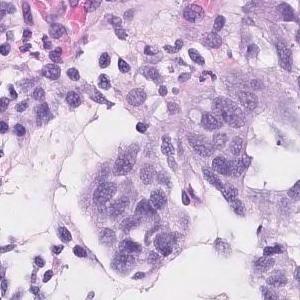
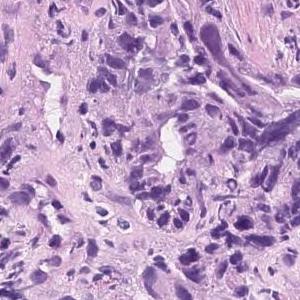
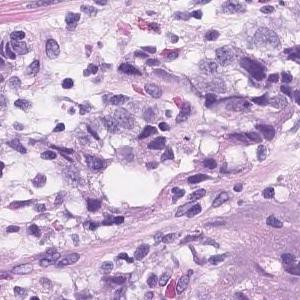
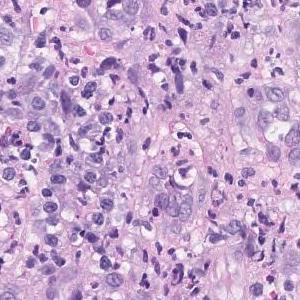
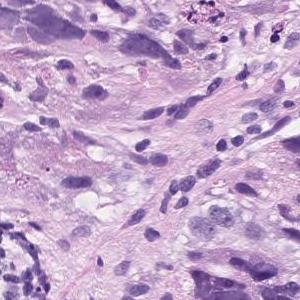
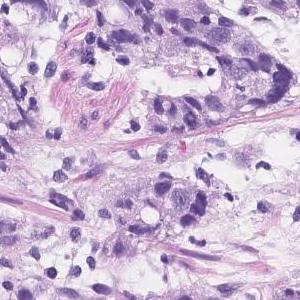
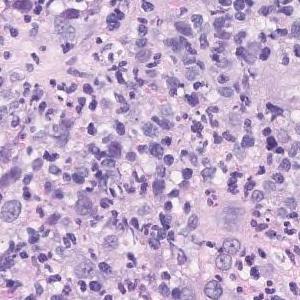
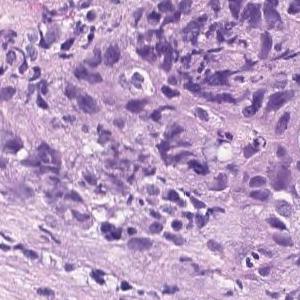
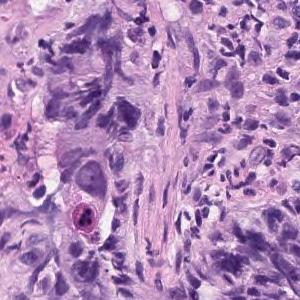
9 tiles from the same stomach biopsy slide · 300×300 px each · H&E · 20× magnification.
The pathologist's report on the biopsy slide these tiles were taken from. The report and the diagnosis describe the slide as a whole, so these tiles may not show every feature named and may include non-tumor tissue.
Atypical epithelial cells infiltrating and proliferating diffusely or while forming vesicles is observed. Poorly differentiated adenocarcinoma (poorly differentiated adenocarcinoma, solid type moderately differentiated tubular adenocarcinoma)
Labeled in the dataset as poorly differentiated adenocarcinoma, solid type (Japanese Classification of Gastric Carcinoma). The WHO 2019 equivalent is tubular adenocarcinoma, poorly differentiated.
